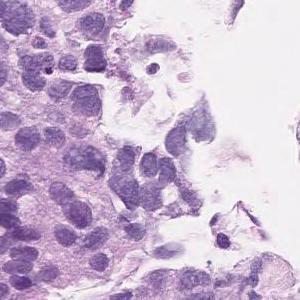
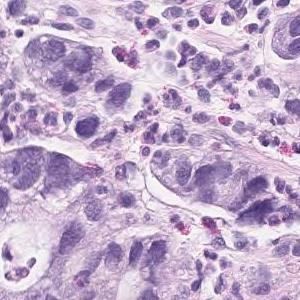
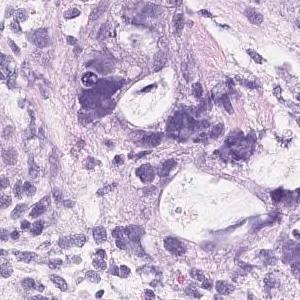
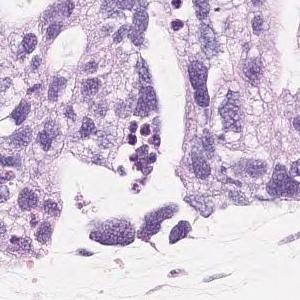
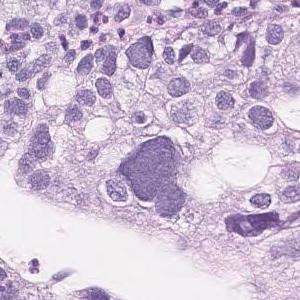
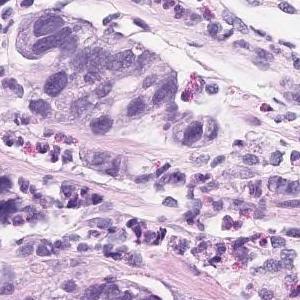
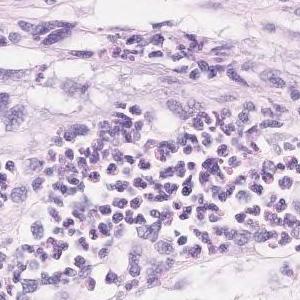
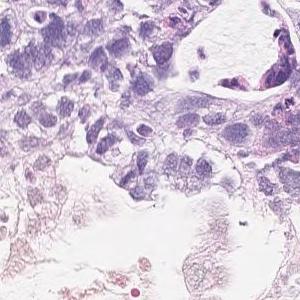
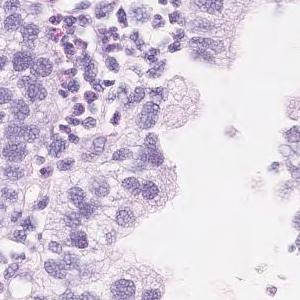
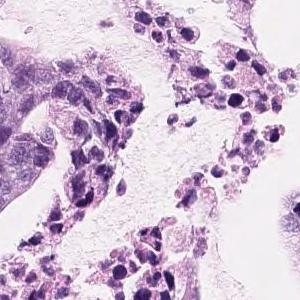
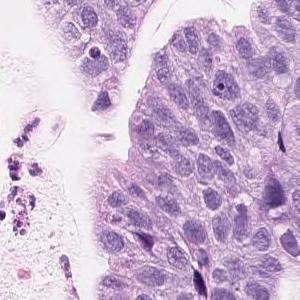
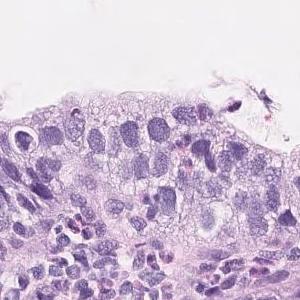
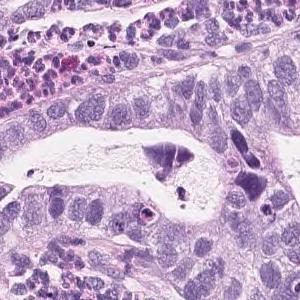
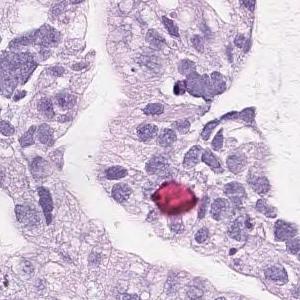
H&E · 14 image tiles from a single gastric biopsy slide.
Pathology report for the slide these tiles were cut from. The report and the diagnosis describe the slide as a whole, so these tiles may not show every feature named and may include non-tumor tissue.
On the superficial epithelium, tumor tissue consisting of large, irregular glandular ducts partially fused and infiltrated is observed. Well to moderately differentiated tubular adenocarcinoma (well differentiated tubular adenocarcinoma, moderately differentiated tubular adenocarcinoma)
Histologic type: Well to moderately differentiated tubular adenocarcinoma.
